H&E stain; 14 image tiles from a single gastric biopsy slide; each 300 × 300 pixels.
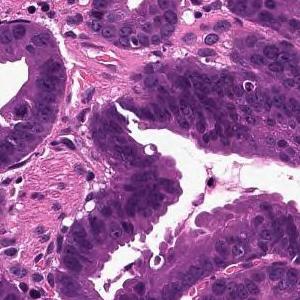
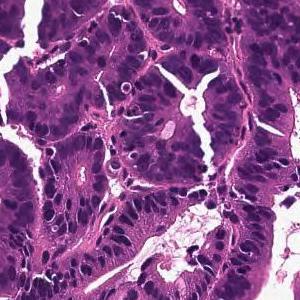
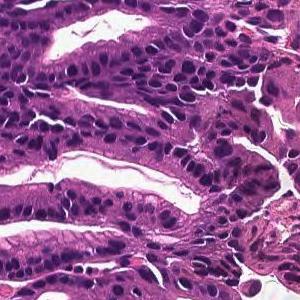
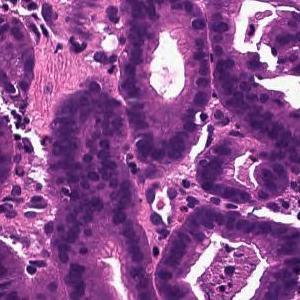
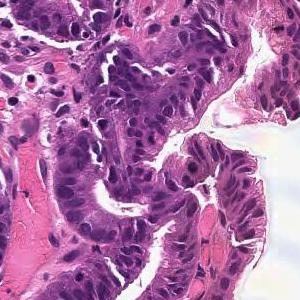
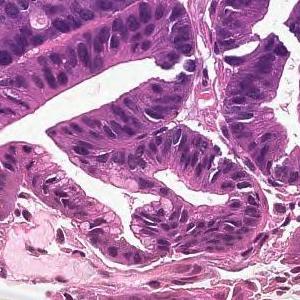
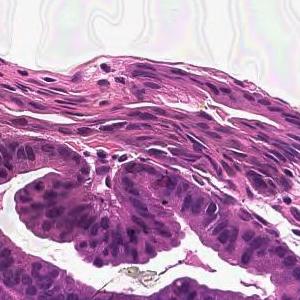
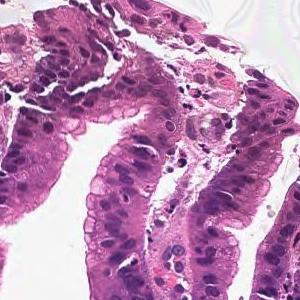
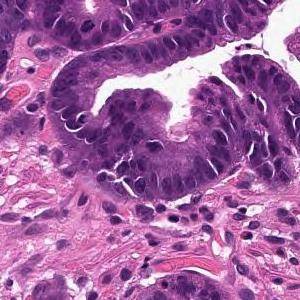
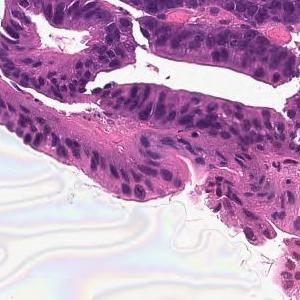
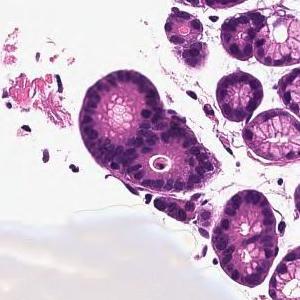
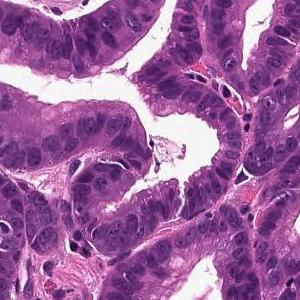
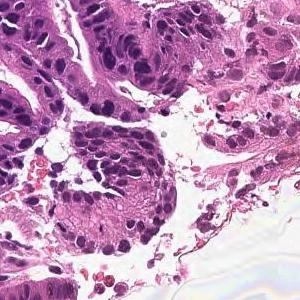
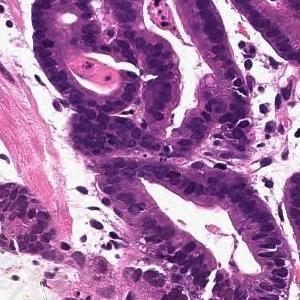
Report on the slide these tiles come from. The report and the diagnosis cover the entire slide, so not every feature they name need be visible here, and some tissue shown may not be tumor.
From the superficial epithelium to the muscularis mucosae, tumor tissue consisting of medium-sized and irregular glandular ducts infiltrating is observed. Well differentiated tubular adenocarcinoma
